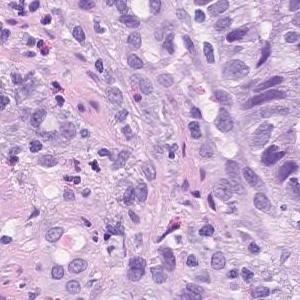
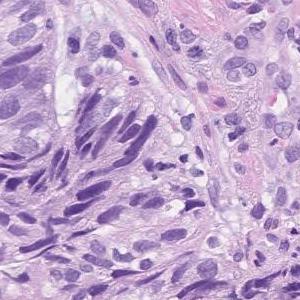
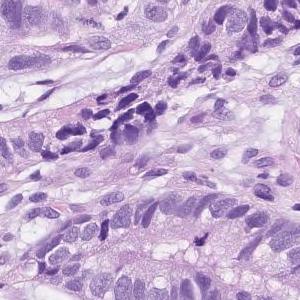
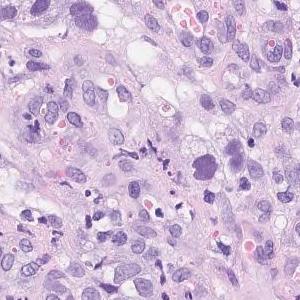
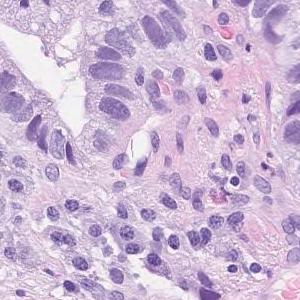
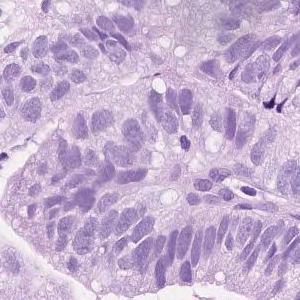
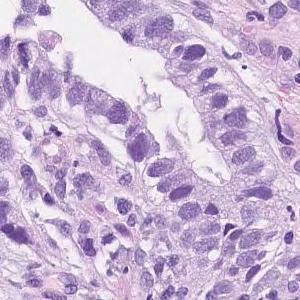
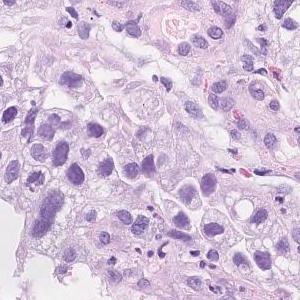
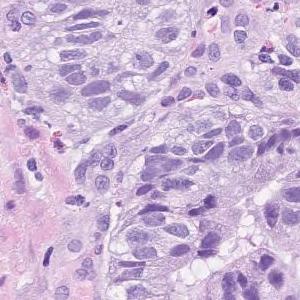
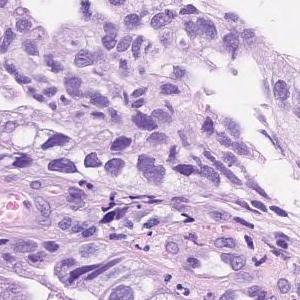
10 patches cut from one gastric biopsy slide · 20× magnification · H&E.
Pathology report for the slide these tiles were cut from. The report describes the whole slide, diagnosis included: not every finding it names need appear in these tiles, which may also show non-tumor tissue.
Atypical l cells with atypical nuclei forming solid or diffuse vesicles or small irregular atypical ducts and growing in a complex manner. moderately differentiated tubular adenocarcinoma
